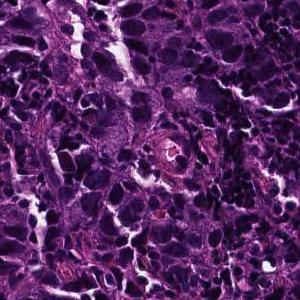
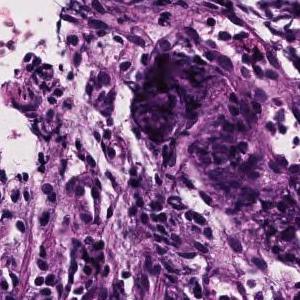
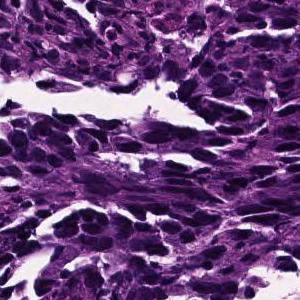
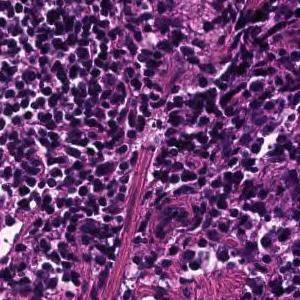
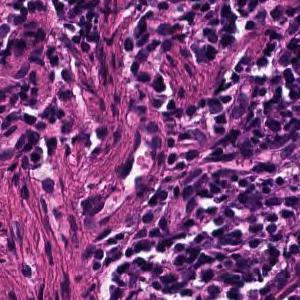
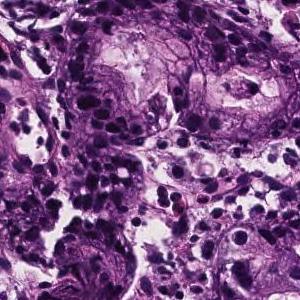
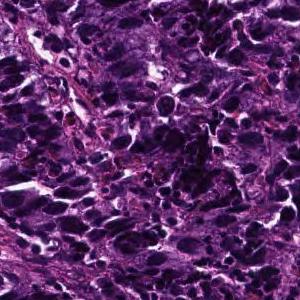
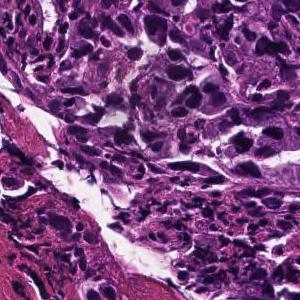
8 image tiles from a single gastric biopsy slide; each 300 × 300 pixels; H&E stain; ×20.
Diagnostic report for the slide these tiles come from. The findings and the diagnosis refer to the entire slide; these tiles show only part of it, possibly with non-tumor tissue, and may not show every feature named.
The superficial epithelium shows a large sheet-like shape, and some tumor tissues infiltrate with a small cord-like structure. Poorly differentiated adenocarcinoma, solid type (poorly differentiated adenocarcinoma, solid type)
Subtype: Poorly differentiated adenocarcinoma, solid type, a category of the Japanese Classification of Gastric Carcinoma; in the WHO 2019 classification it is tubular adenocarcinoma, poorly differentiated.
